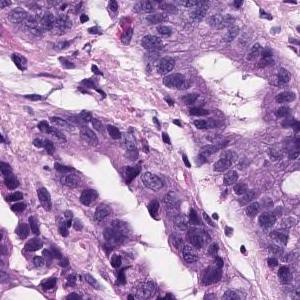
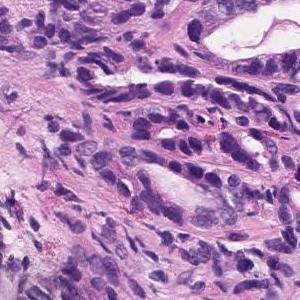
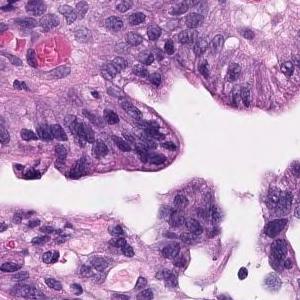
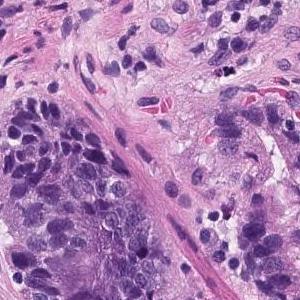
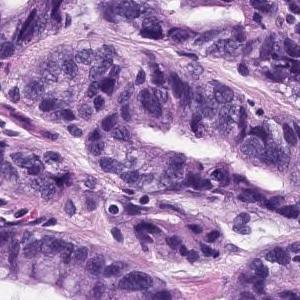
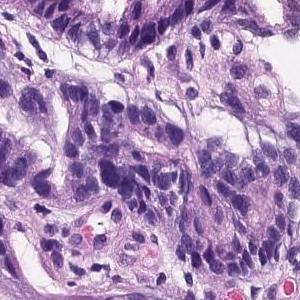
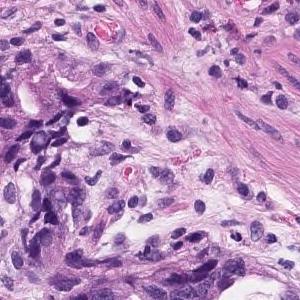
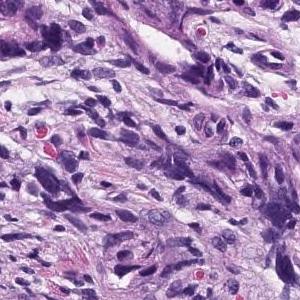
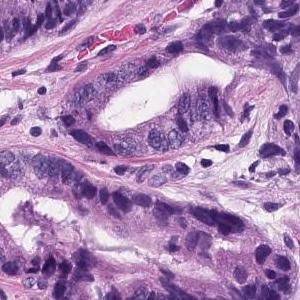
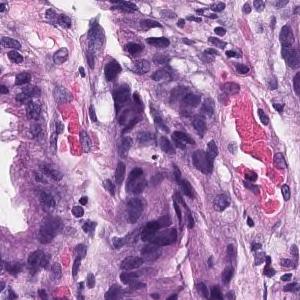
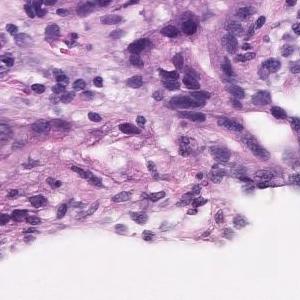
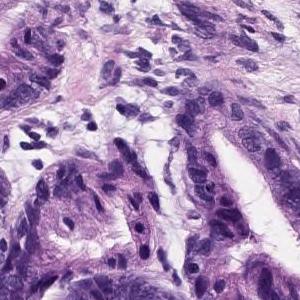
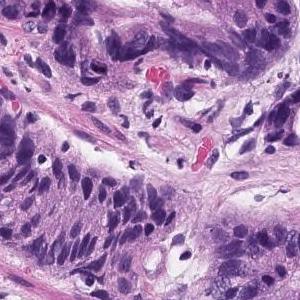
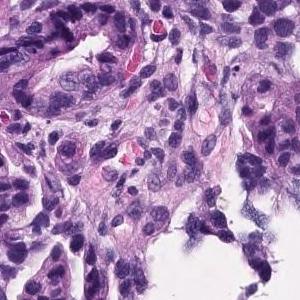
14 tiles from the same stomach biopsy slide, 300×300 px each, hematoxylin and eosin stain, scanned at ×20.
Report on the slide these tiles come from. Both the report and the diagnosis are for the whole slide: these tiles need not show every feature named, and some of the tissue shown may not be tumor.
In the superficial epithelium, tumor tissue that invades by forming medium-sized to small, irregular ducts is observed. Moderately differentiated adenocarcinoma.
Subtype: Moderately differentiated tubular adenocarcinoma.
